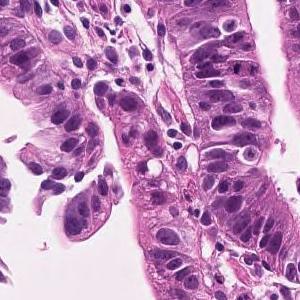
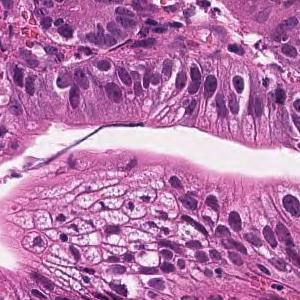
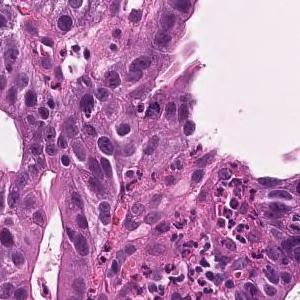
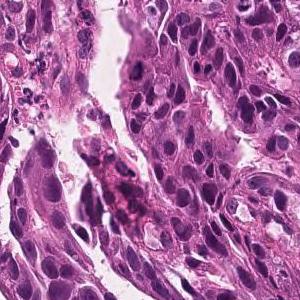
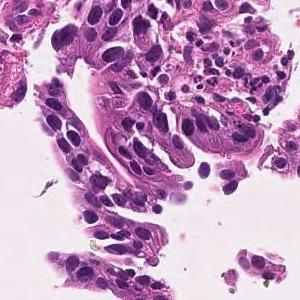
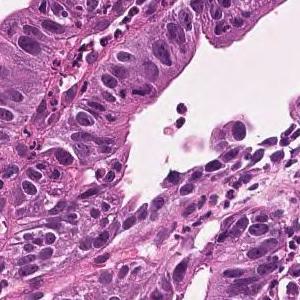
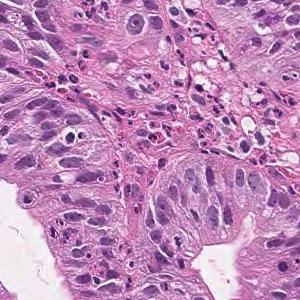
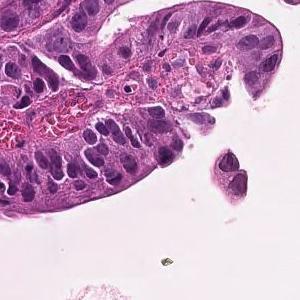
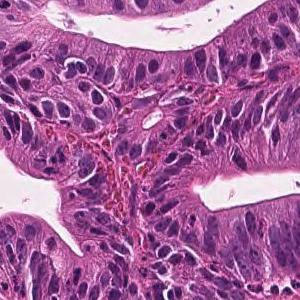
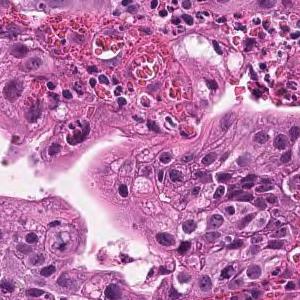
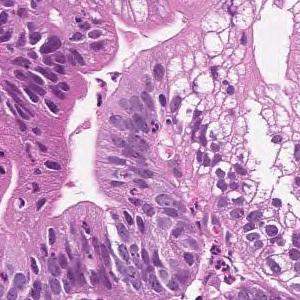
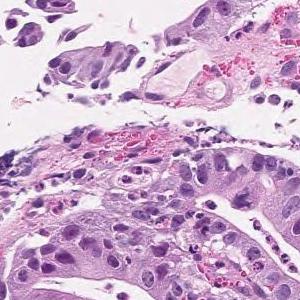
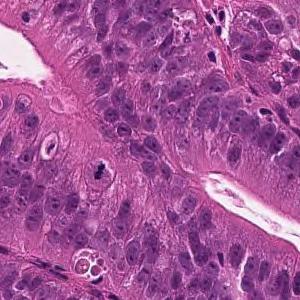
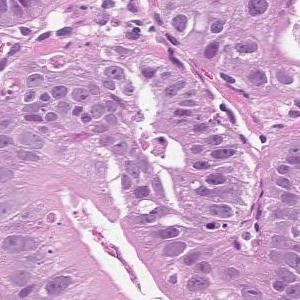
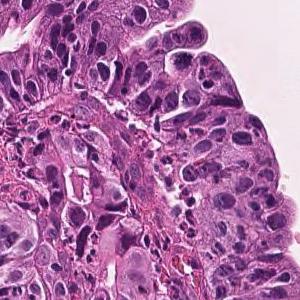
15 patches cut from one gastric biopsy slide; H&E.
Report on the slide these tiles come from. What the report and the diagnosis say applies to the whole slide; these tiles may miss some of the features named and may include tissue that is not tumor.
Tumor cells are large, highly columnar, large club-shaped nuclei, and are associated with chromatin aggregation. Papillary adenocarcinoma.
